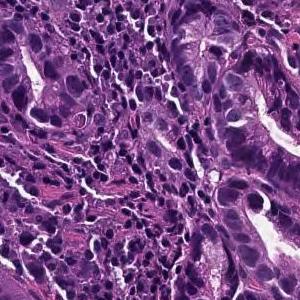
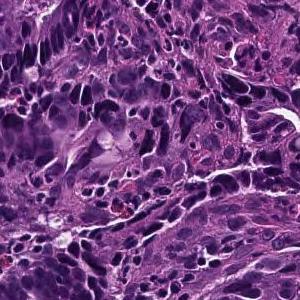
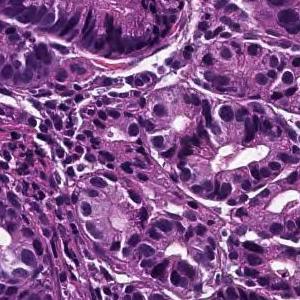
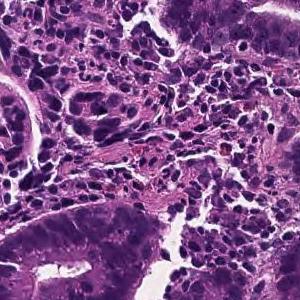
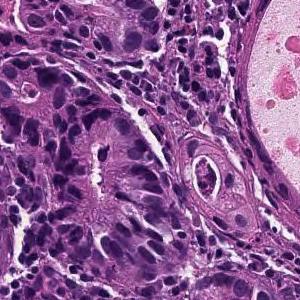
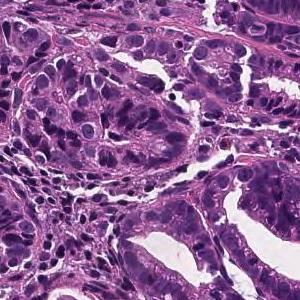
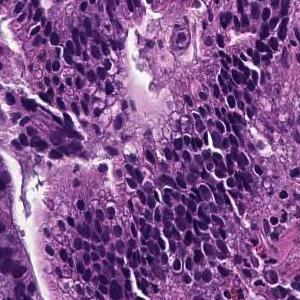
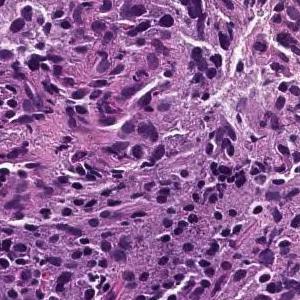
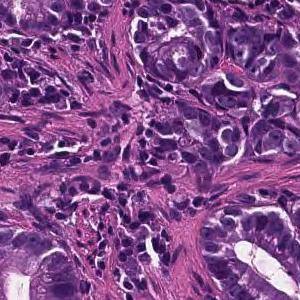
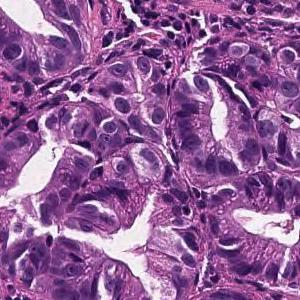
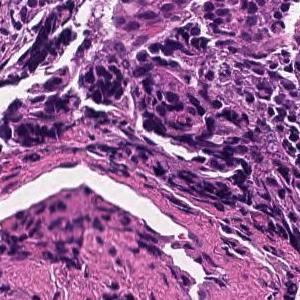
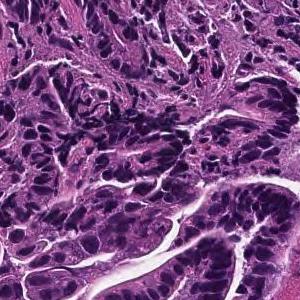
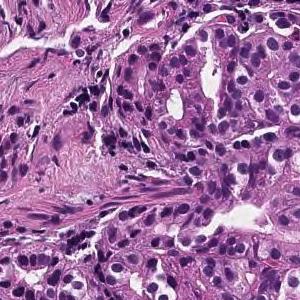
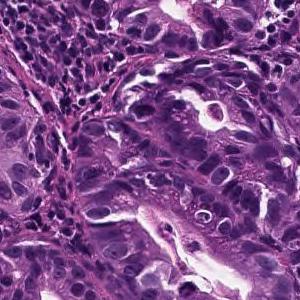
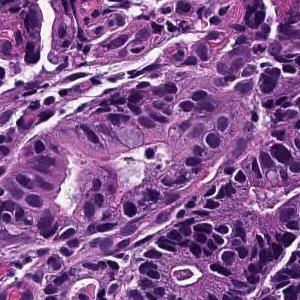
15 image tiles from a single gastric biopsy slide, H&E stain.
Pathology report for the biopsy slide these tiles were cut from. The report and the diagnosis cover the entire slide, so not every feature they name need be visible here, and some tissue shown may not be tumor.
On the superficial epithelium, tumor tissue consisting of large irregular glandular ducts partially fused and infiltrated is observed. Well to moderately differentiated tubular adenocarcinoma (well differentiated tubular adenocarcinoma, moderately differentiated tubular adenocarcinoma)
Classified as well to moderately differentiated tubular adenocarcinoma.
